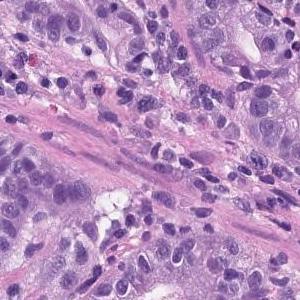
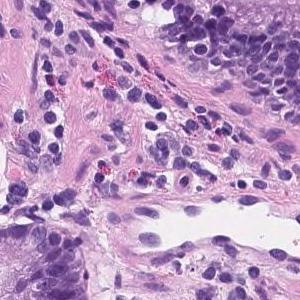
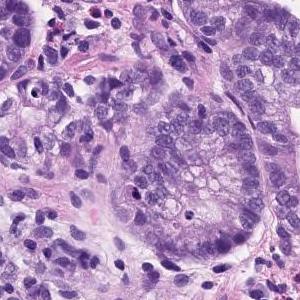
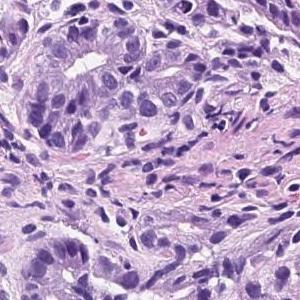
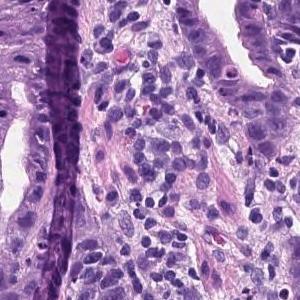
Hematoxylin and eosin stain, 5 patches cut from one gastric biopsy slide, 300 × 300 pixels each.
Pathology report for the biopsy slide these tiles were cut from. The report and the diagnosis cover the entire slide, so not every feature they name need be visible here, and some tissue shown may not be tumor.
Tumor tissue consisting of medium-sized and irregular ducts is observed infiltrating in the superficial epithelium. Tumor cells are highly columnar, with nuclei aligned basolaterally and polarized. Well differentiated tubular adenocarcinoma.
